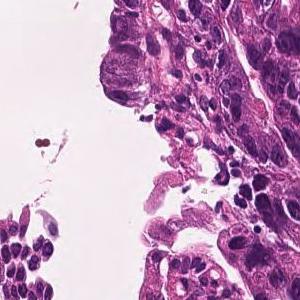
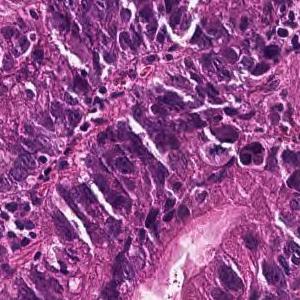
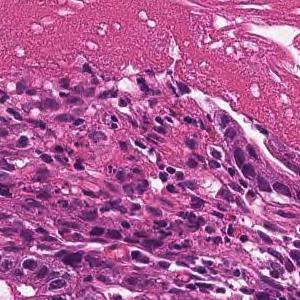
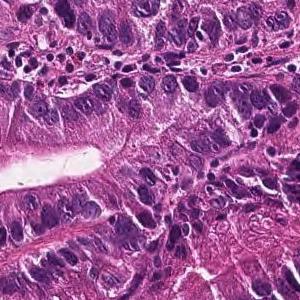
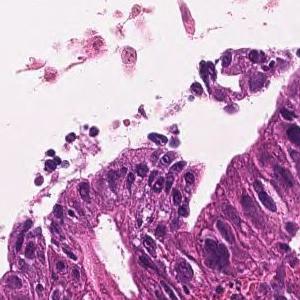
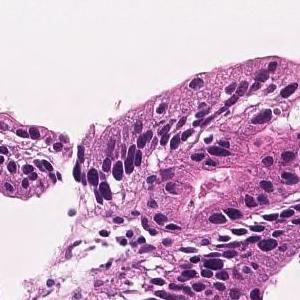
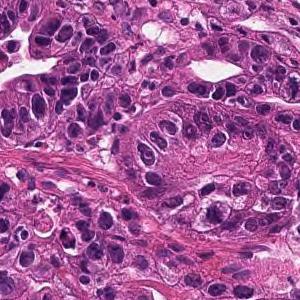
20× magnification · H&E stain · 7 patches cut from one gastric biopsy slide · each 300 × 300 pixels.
Pathology report for the biopsy slide these tiles were cut from. What the report and the diagnosis say applies to the whole slide; these tiles may miss some of the features named and may include tissue that is not tumor.
In the superficial epithelium, tumor tissue that invades by forming medium-sized to small, irregular ducts is observed. moderately differentiated tubular adenocarcinoma.
